8 patches cut from one gastric biopsy slide · 300×300 px each · H&E stain · 20× magnification.
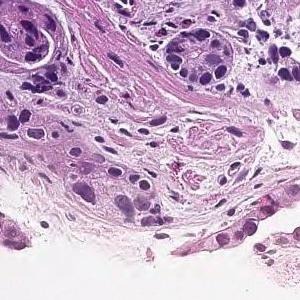
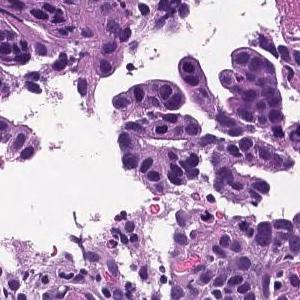
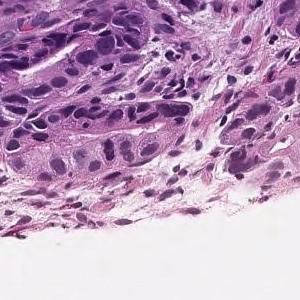
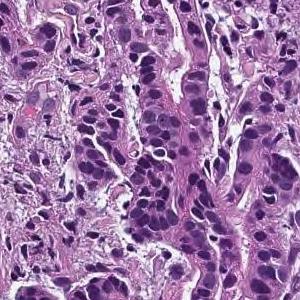
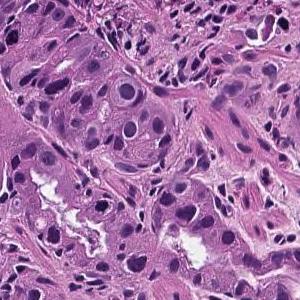
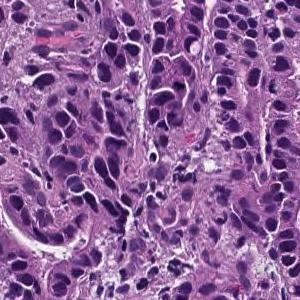
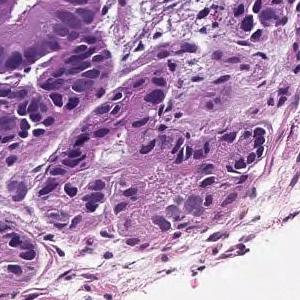
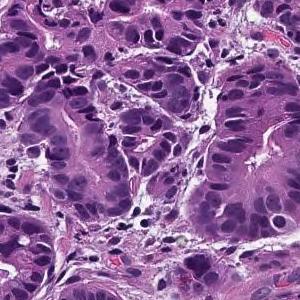
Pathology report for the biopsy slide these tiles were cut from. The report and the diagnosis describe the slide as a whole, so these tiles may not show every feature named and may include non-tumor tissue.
In the superficial epithelium, tumor tissue that invades by forming medium-sized to small, irregular ducts is observed. moderately differentiated tubular adenocarcinoma.
